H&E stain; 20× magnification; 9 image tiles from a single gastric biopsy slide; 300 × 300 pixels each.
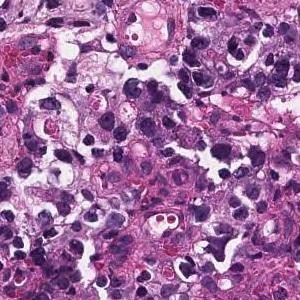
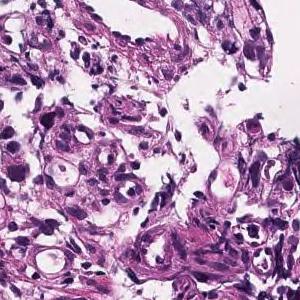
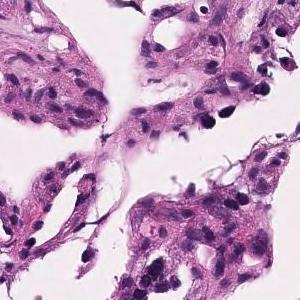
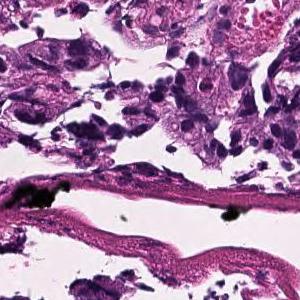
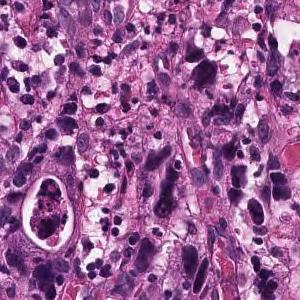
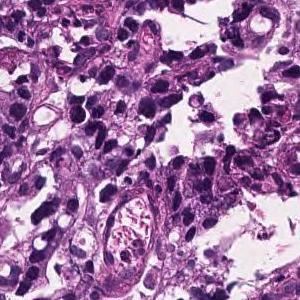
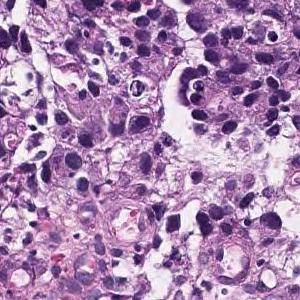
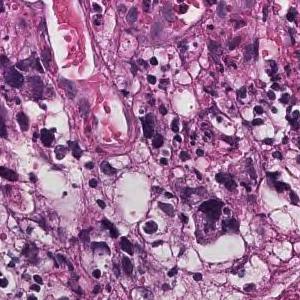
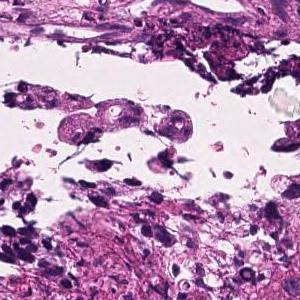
Pathology report for the slide these tiles were cut from. The report and the diagnosis describe the slide as a whole, so these tiles may not show every feature named and may include non-tumor tissue.
Tumor tissue consisting of medium-sized, cord-like or irregular glandular infiltration is observed in the superficial epithelium. Poorly differentiated adenocarcinoma, non-solid type or moderately differentiated tubular adenocarcinoma
The term "non-solid type" comes from the Japanese Classification of Gastric Carcinoma.
